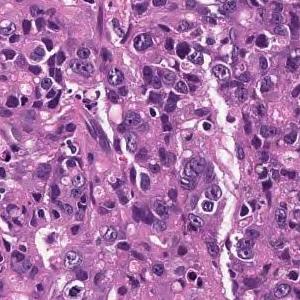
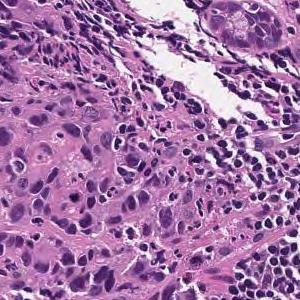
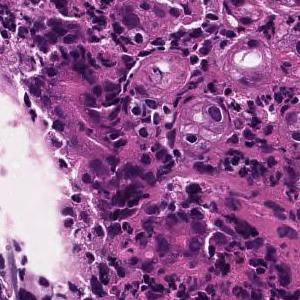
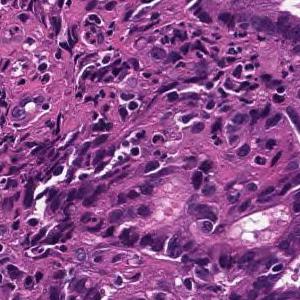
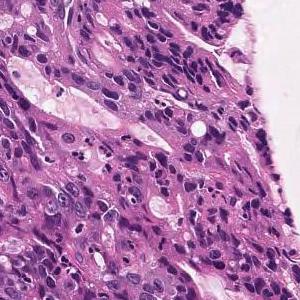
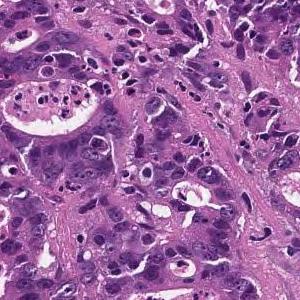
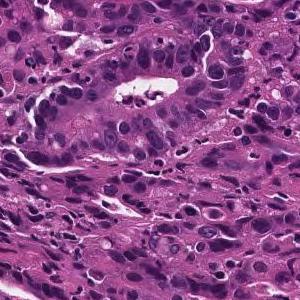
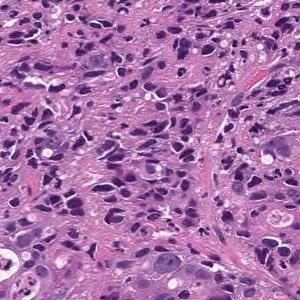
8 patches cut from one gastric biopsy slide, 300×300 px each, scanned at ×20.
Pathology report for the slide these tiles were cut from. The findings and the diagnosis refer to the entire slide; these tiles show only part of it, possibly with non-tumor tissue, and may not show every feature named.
In the superficial epithelium, tumor tissue that invades by forming medium-sized to small, irregular ducts is observed. moderately differentiated tubular adenocarcinoma.
